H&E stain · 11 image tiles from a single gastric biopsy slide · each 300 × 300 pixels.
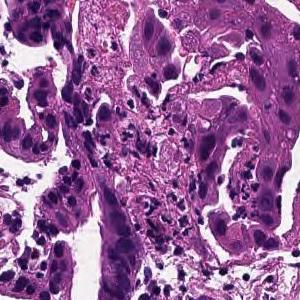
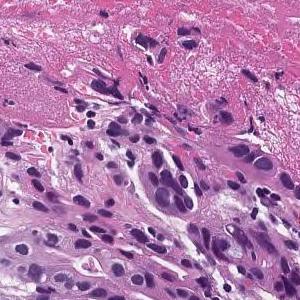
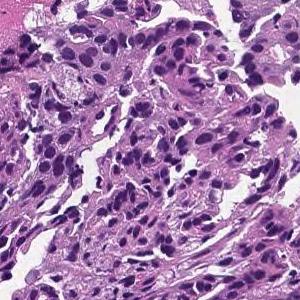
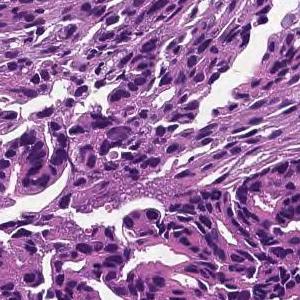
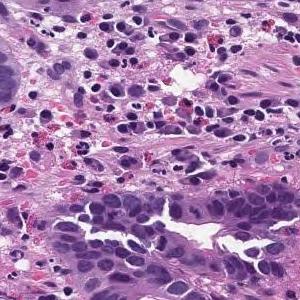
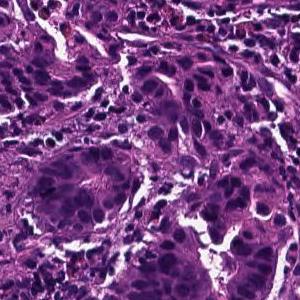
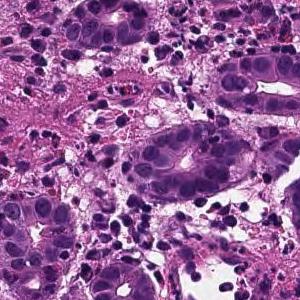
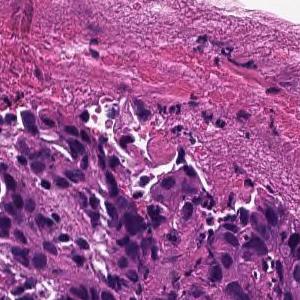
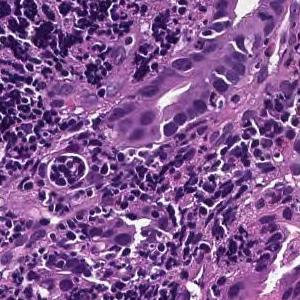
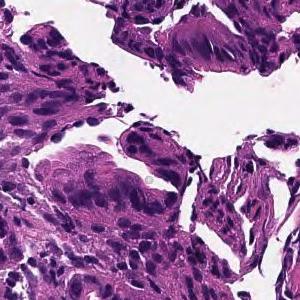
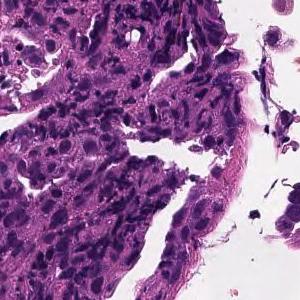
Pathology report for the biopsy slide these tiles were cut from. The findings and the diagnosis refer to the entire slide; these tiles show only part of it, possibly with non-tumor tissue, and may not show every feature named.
In the superficial epithelium, tumor tissue that invades by forming medium-sized to small, irregular ducts is observed. moderately differentiated tubular adenocarcinoma.
